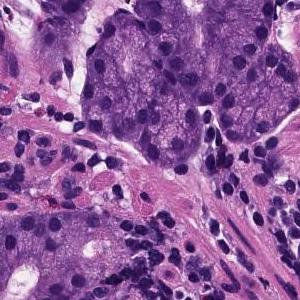
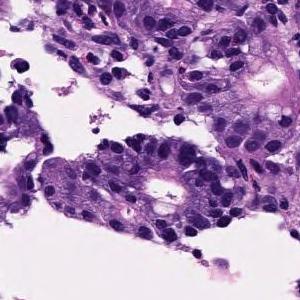
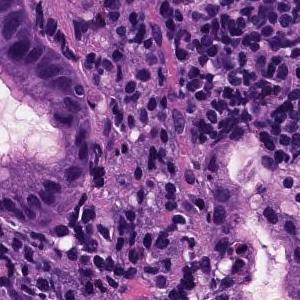
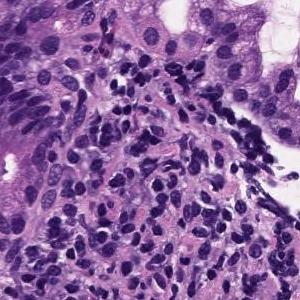
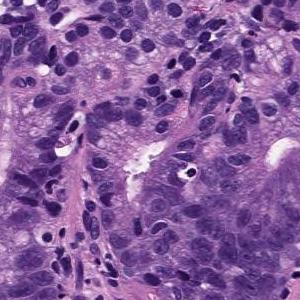
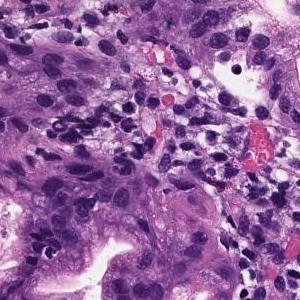
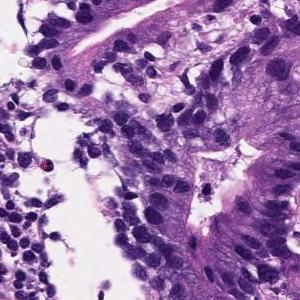
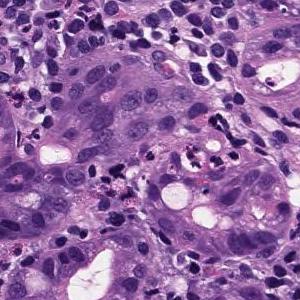
20× magnification, H&E stain, 8 patches cut from one gastric biopsy slide, 300 × 300 pixels each.
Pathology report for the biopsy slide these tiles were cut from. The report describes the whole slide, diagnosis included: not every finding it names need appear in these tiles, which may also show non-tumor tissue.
Medium to small, irregular glandular ducts are formed in the superficial epithelium, and in some cases, the glandular ducts are fused to show solid alveolar lesions and infiltrating tumor tissue is observed. Moderately to poorly differentiated adenocarcinoma.
